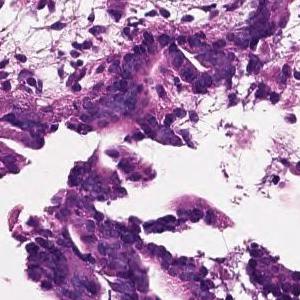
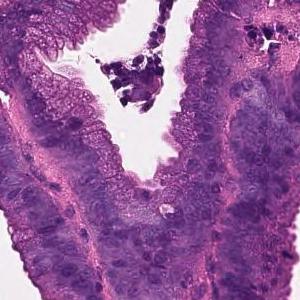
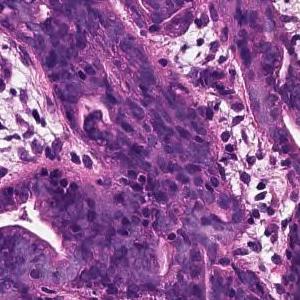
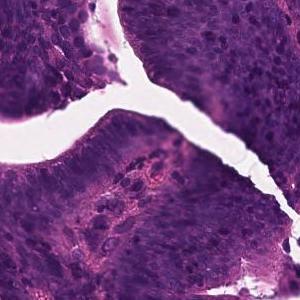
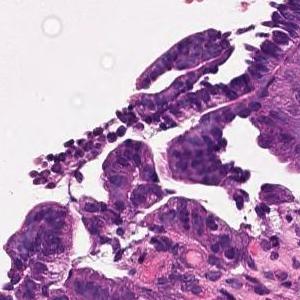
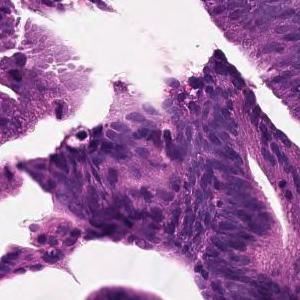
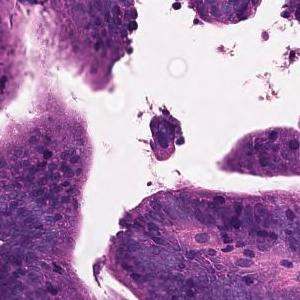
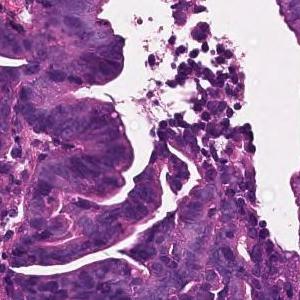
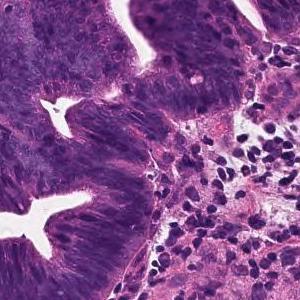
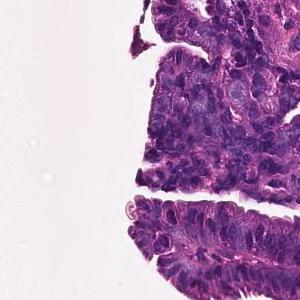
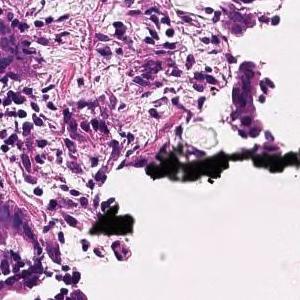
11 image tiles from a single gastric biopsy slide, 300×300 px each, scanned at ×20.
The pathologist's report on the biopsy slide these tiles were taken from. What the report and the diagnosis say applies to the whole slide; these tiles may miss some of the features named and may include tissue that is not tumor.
Tumor cells are large, highly columnar, large club-shaped nuclei, and are associated with chromatin aggregation. Papillary adenocarcinoma.
